10 tiles from the same stomach biopsy slide · 300×300 px each · scanned at ×20 · H&E.
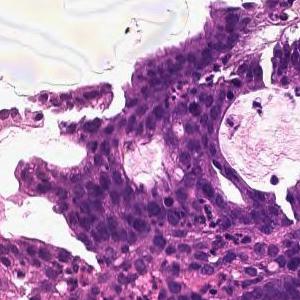
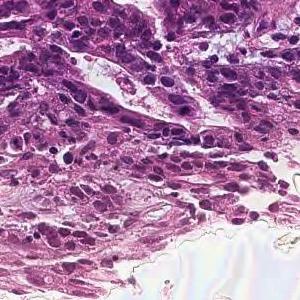
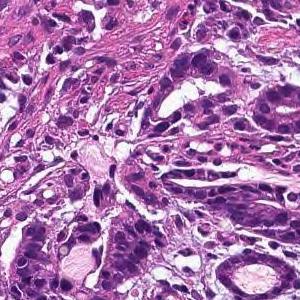
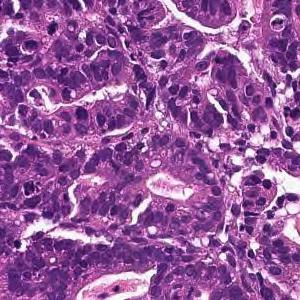
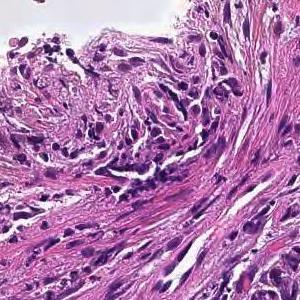
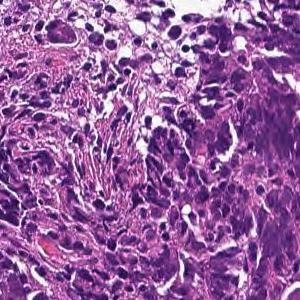
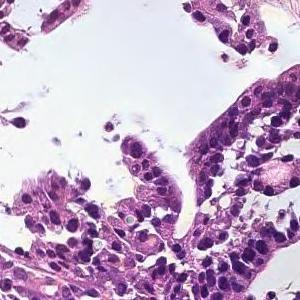
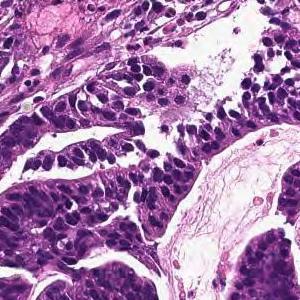
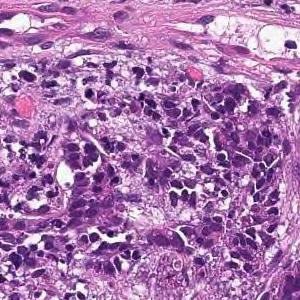
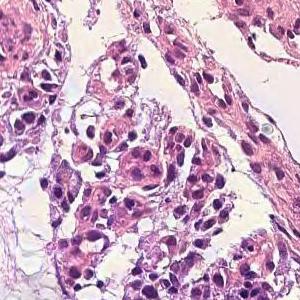
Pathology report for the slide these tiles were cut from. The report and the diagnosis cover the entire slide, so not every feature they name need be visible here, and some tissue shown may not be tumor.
In the superficial epithelium, tumor tissue that invades by forming medium-sized to small, irregular ducts is observed. moderately differentiated tubular adenocarcinoma.
